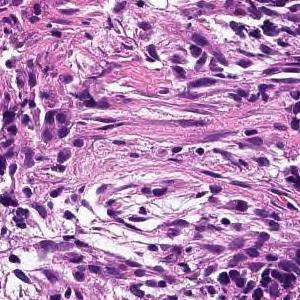
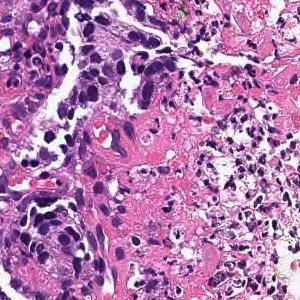
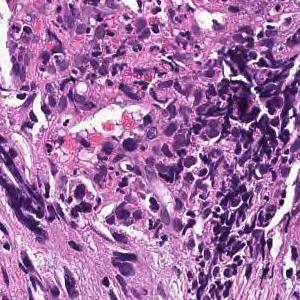
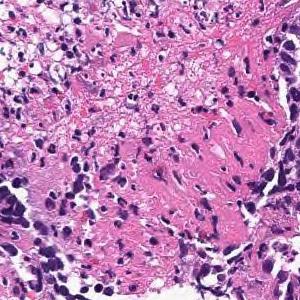
4 image tiles from a single gastric biopsy slide · 300×300 px each · 20× magnification.
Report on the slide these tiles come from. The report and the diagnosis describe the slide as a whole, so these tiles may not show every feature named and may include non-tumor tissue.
Tumor tissue consisting of medium-sized, cord-like or irregular glandular infiltration is observed in the superficial epithelium. Poorly differentiated adenocarcinoma, non-solid type or moderately differentiated tubular adenocarcinoma
Subtype: Moderately to poorly differentiated adenocarcinoma.
The non-solid type named here is a Japanese Classification of Gastric Carcinoma category.
